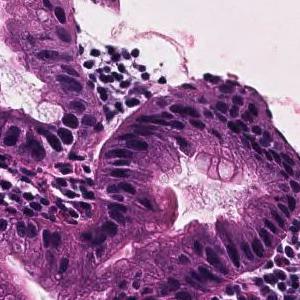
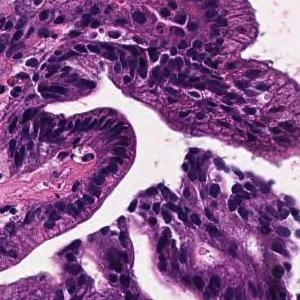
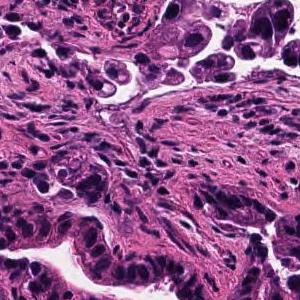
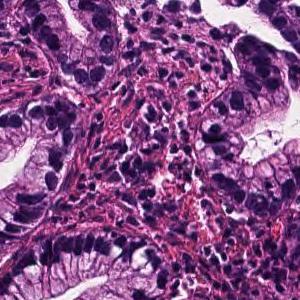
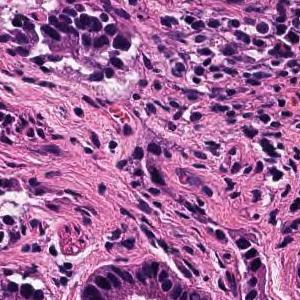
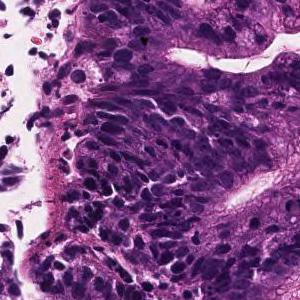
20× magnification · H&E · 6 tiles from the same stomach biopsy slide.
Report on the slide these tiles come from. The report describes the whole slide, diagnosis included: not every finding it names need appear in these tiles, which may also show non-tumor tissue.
Tumor cells are large, highly columnar, large club-shaped nuclei, and are associated with chromatin aggregation. Papillary adenocarcinoma.
